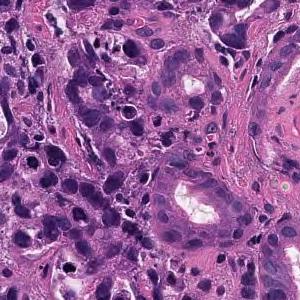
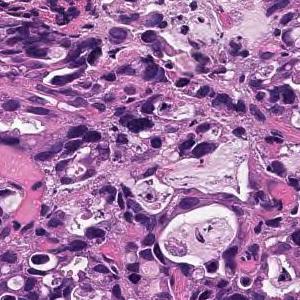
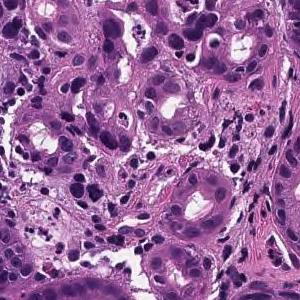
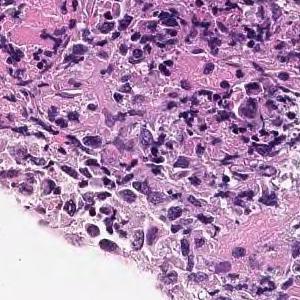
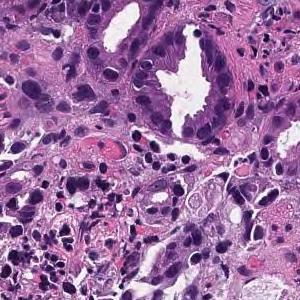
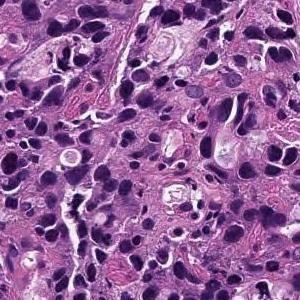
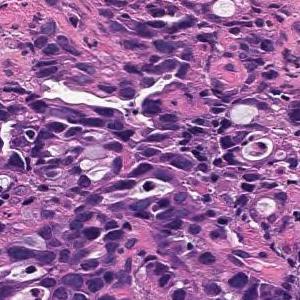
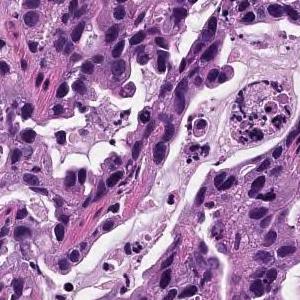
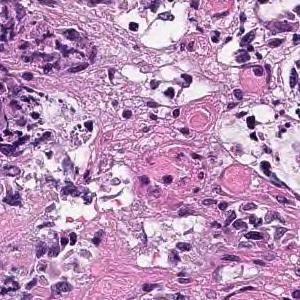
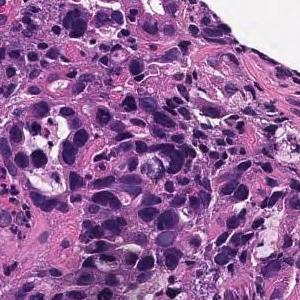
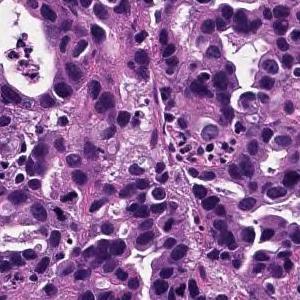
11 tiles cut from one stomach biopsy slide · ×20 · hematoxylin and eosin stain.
Pathology report for the slide these tiles were cut from. The report and the diagnosis cover the entire slide, so not every feature they name need be visible here, and some tissue shown may not be tumor.
In the superficial epithelium, tumor tissue that invades by forming medium-sized to small, irregular ducts is observed. moderately differentiated tubular adenocarcinoma.
